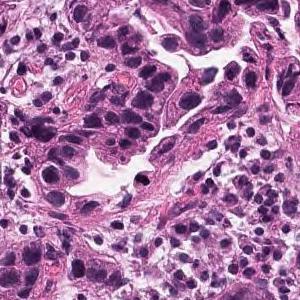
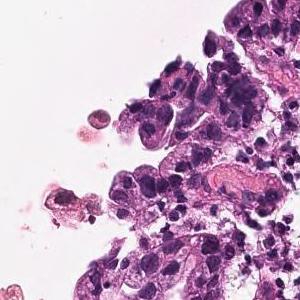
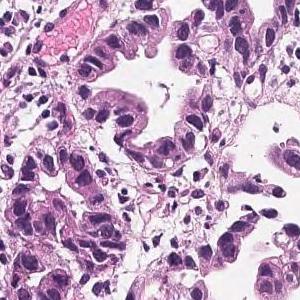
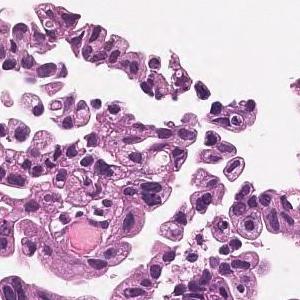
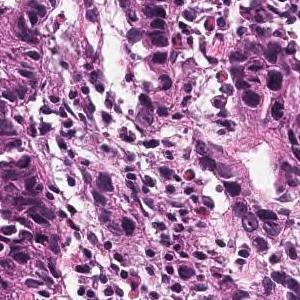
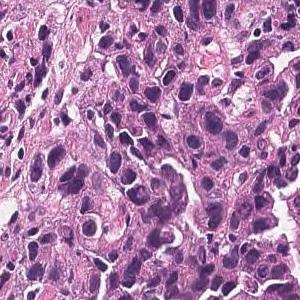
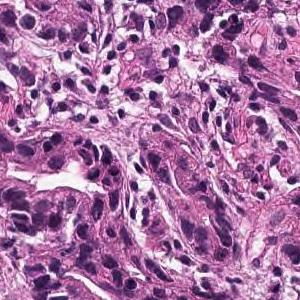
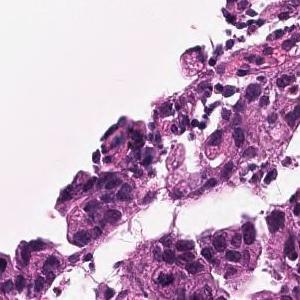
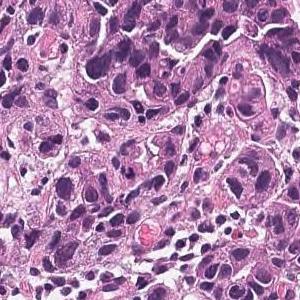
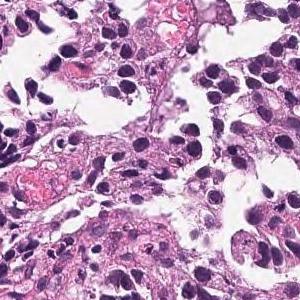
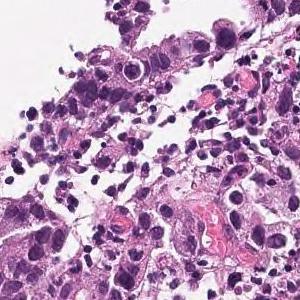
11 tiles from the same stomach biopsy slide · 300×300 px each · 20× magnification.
Pathology report for the slide these tiles were cut from. The report and the diagnosis cover the entire slide, so not every feature they name need be visible here, and some tissue shown may not be tumor.
Medium to small, irregular glandular ducts are formed in the superficial epithelium, and in some cases, the glandular ducts are fused to show solid alveolar lesions and infiltrating tumor tissue is observed. Moderately to poorly differentiated adenocarcinoma.
